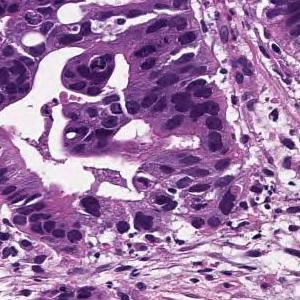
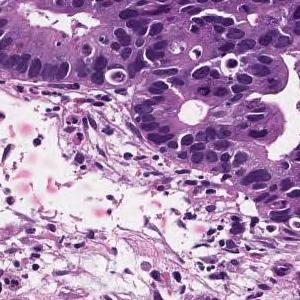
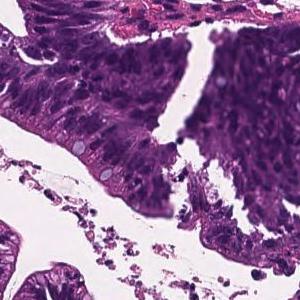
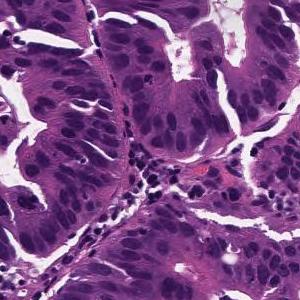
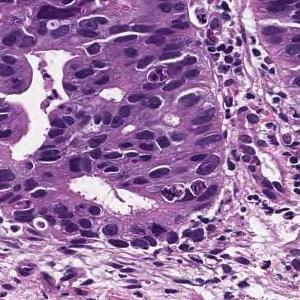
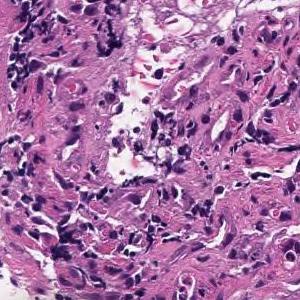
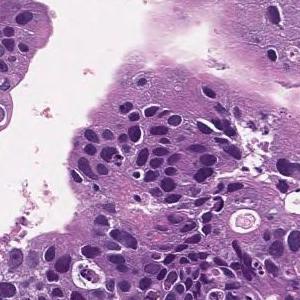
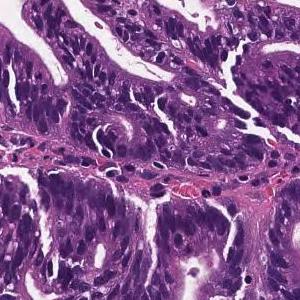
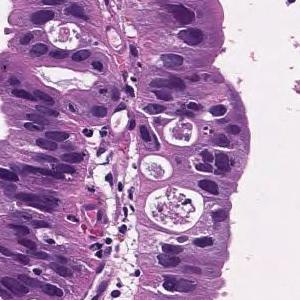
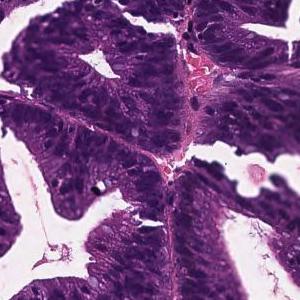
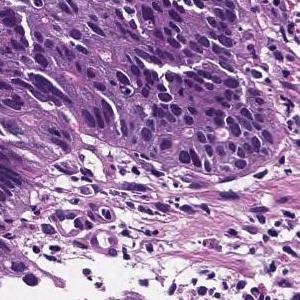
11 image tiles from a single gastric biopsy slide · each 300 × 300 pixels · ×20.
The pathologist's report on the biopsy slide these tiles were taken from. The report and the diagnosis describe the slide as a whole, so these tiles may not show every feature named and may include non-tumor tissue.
Tumor cells are large, highly columnar, large club-shaped nuclei, and are associated with chromatin aggregation. Papillary adenocarcinoma.
